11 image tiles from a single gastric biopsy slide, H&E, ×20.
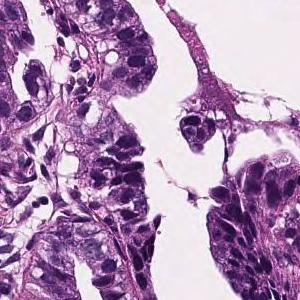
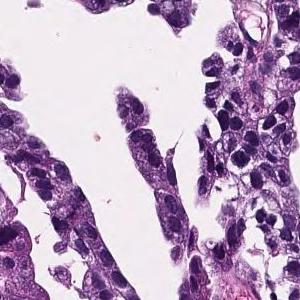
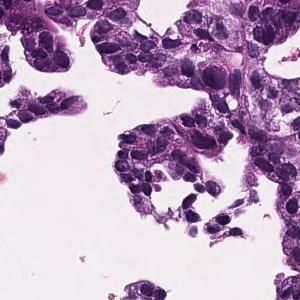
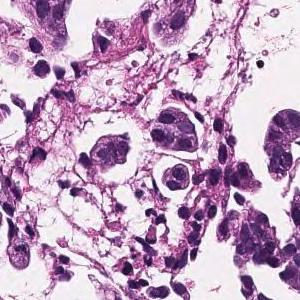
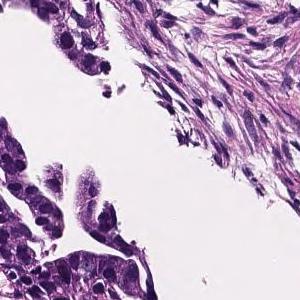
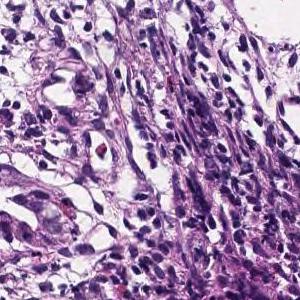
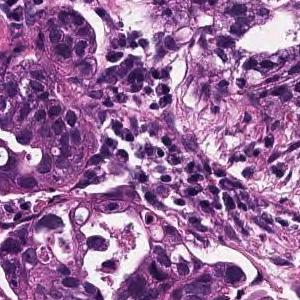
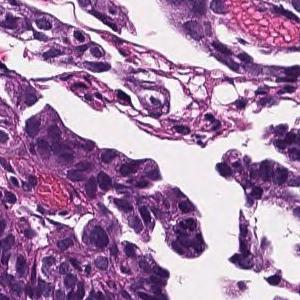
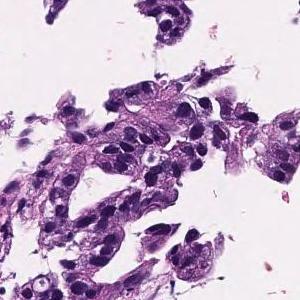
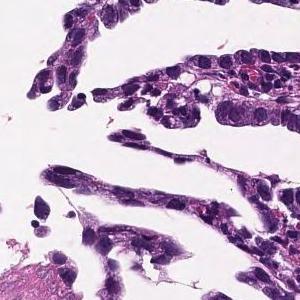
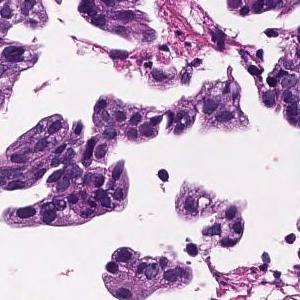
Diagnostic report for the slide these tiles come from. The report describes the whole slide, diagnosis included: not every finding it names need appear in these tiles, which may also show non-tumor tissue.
In the lamina propria, tumor tissue that invades by forming medium-sized to small, irregular glandular ducts is observed. moderately differentiated tubular adenocarcinoma
